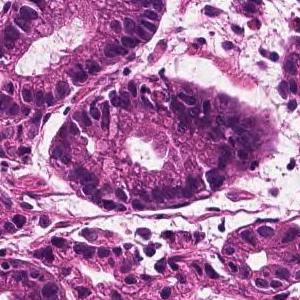
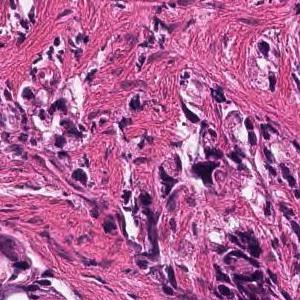
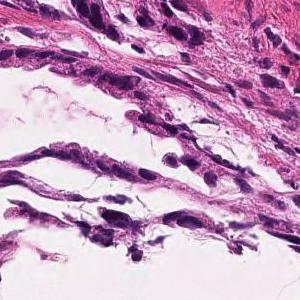
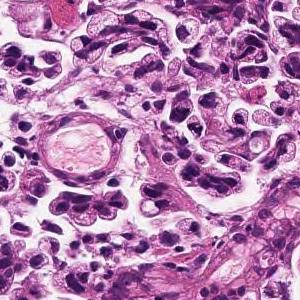
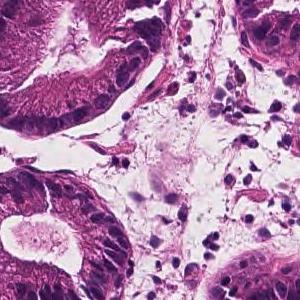
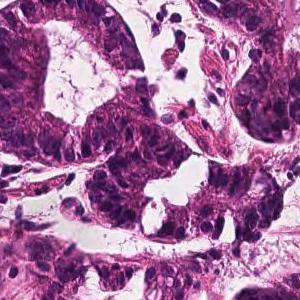
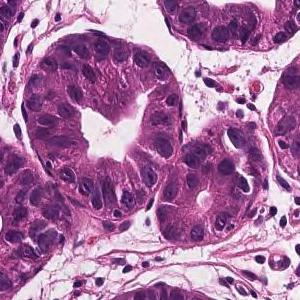
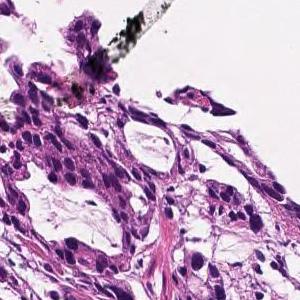
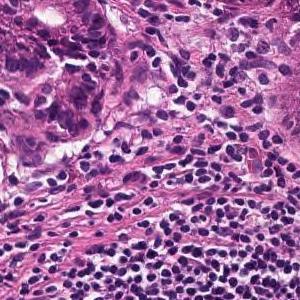
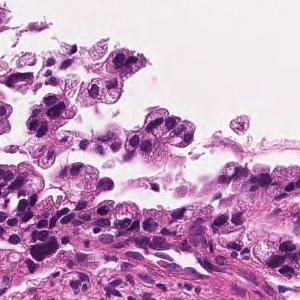
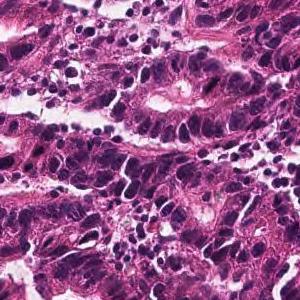
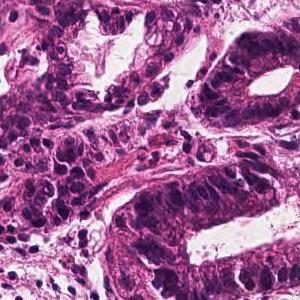
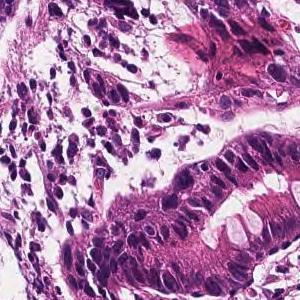
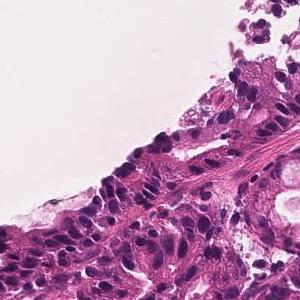
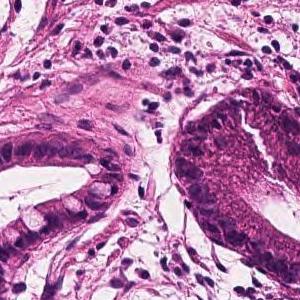
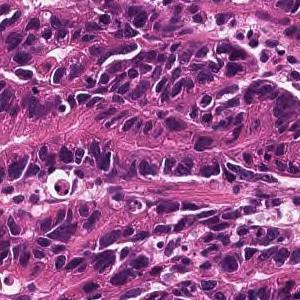
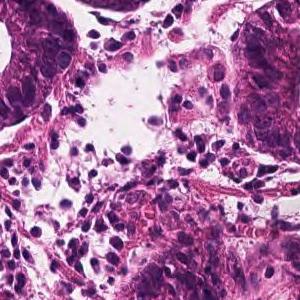
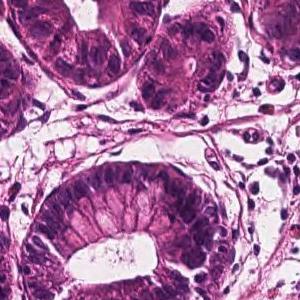
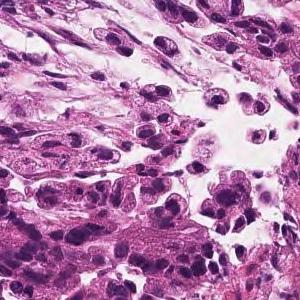
19 image tiles from a single gastric biopsy slide, scanned at ×20.
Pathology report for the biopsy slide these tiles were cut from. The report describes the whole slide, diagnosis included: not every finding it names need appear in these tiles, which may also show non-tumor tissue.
In the superficial epithelium, tumor tissue that invades by forming medium-sized to small, irregular ducts is observed. moderately differentiated tubular adenocarcinoma.
